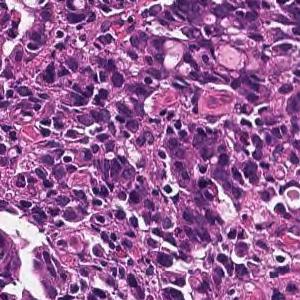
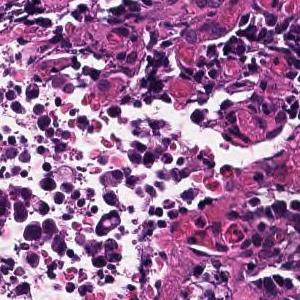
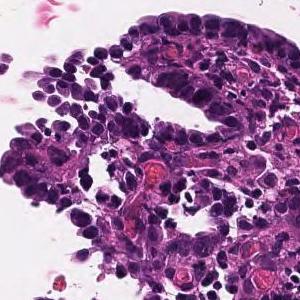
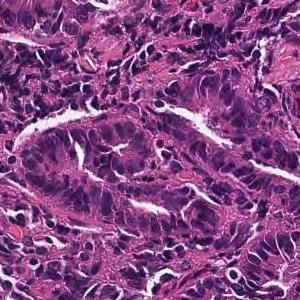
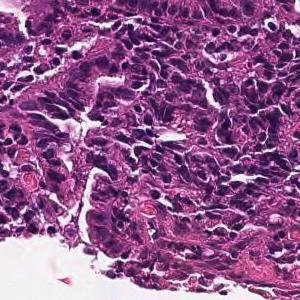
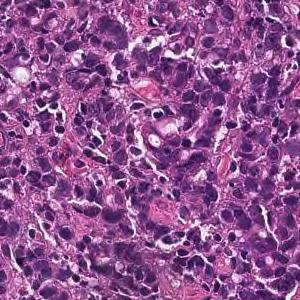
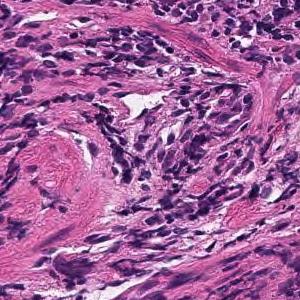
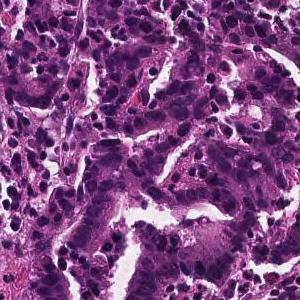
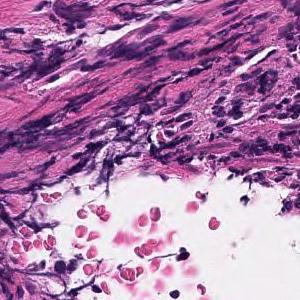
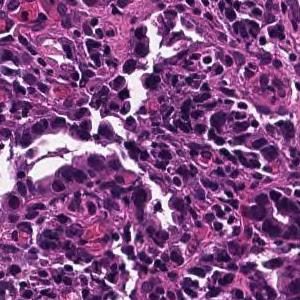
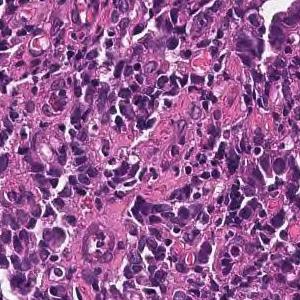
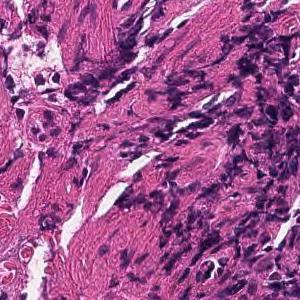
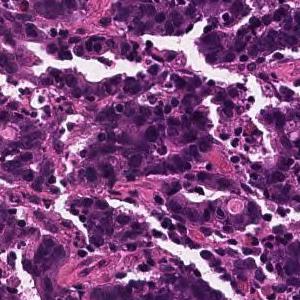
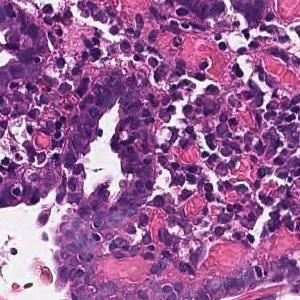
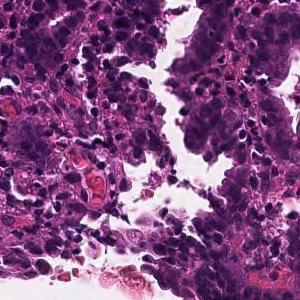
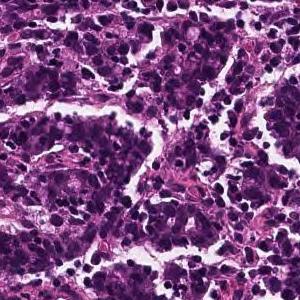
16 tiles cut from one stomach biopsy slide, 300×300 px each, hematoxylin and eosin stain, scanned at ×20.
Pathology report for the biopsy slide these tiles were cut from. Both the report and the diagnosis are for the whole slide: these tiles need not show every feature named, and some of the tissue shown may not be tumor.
In the superficial epithelium, tumor tissue that invades by forming medium-sized to small, irregular ducts is observed. moderately differentiated tubular adenocarcinoma.
